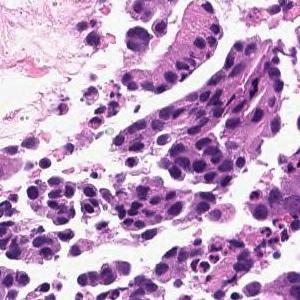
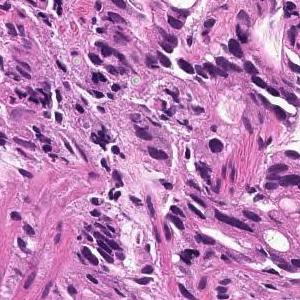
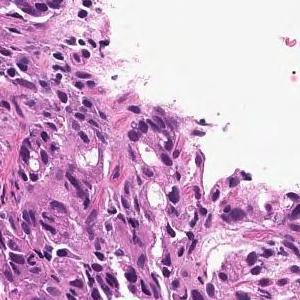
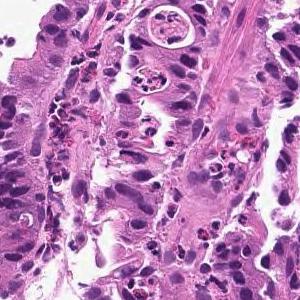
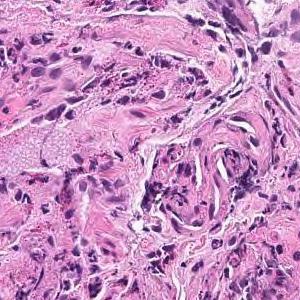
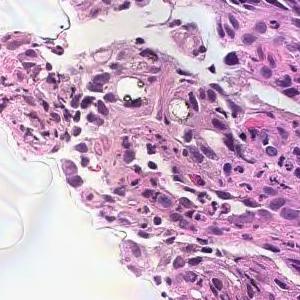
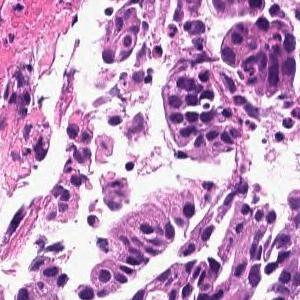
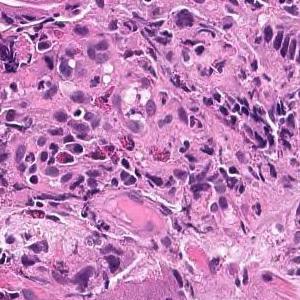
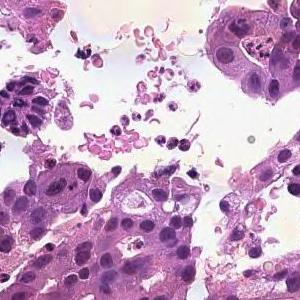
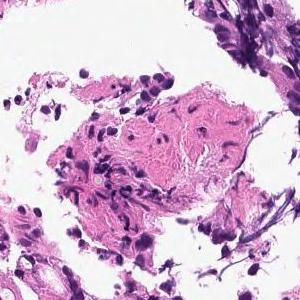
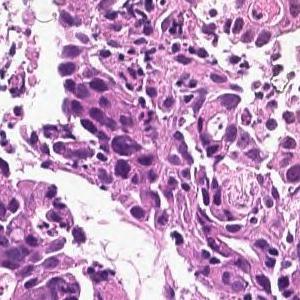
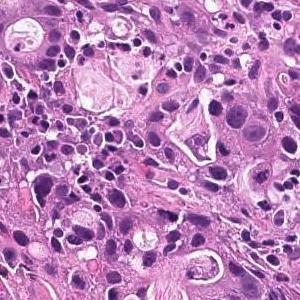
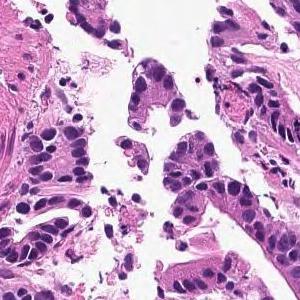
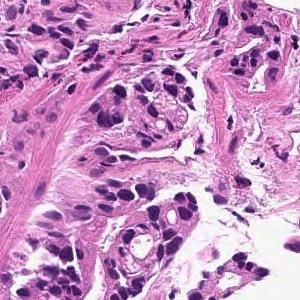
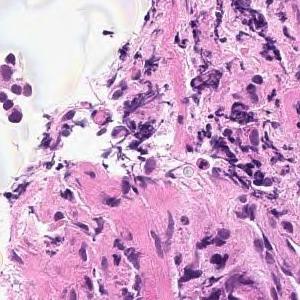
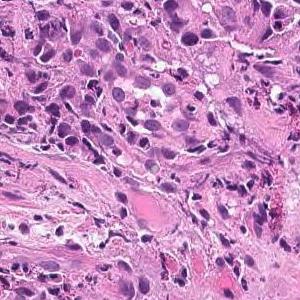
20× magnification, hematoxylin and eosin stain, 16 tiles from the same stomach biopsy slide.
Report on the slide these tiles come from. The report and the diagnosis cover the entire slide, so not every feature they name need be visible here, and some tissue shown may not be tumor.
On the superficial epithelium, tumor tissue consisting of large irregular glandular ducts partially fused and infiltrated is observed. Well to moderately differentiated tubular adenocarcinoma (well differentiated tubular adenocarcinoma, moderately differentiated tubular adenocarcinoma)
Classified as well to moderately differentiated tubular adenocarcinoma.
